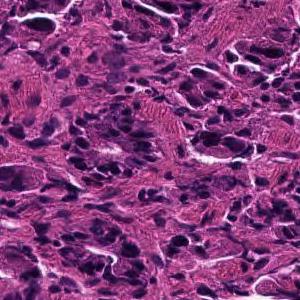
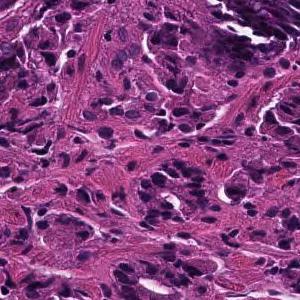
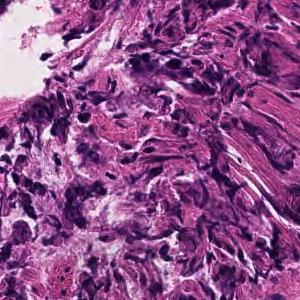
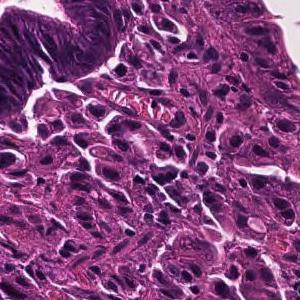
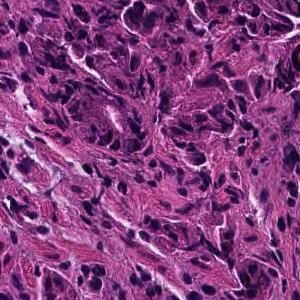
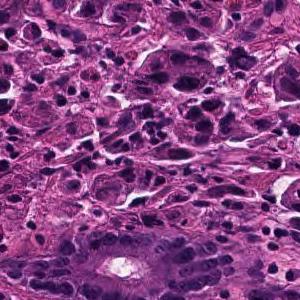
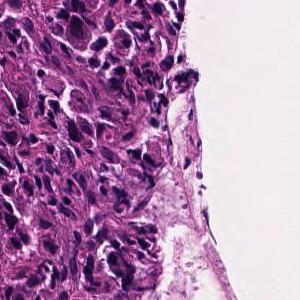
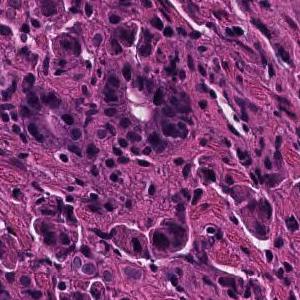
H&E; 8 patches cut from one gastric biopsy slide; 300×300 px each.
Report on the slide these tiles come from. The report describes the whole slide, diagnosis included: not every finding it names need appear in these tiles, which may also show non-tumor tissue.
Tumor tissue consisting of cord-like or small, irregular glandular ducts fused and infiltrated is observed in the superficial epithelium. Poorly differentiated adenocarcinoma, non-solid type
The term "non-solid type" comes from the Japanese Classification of Gastric Carcinoma.
